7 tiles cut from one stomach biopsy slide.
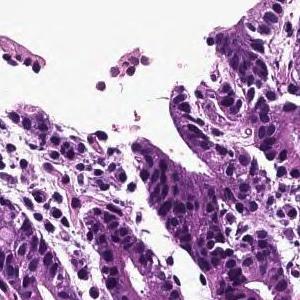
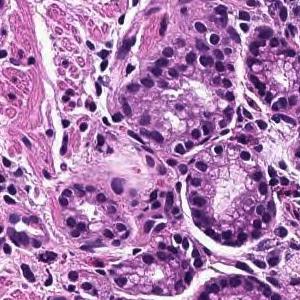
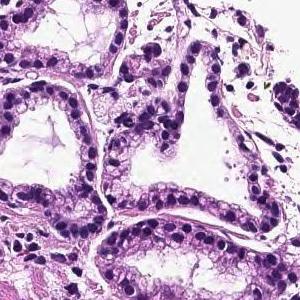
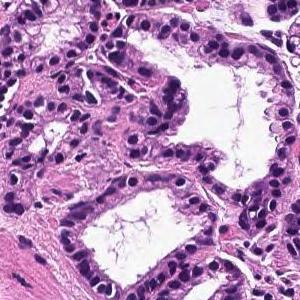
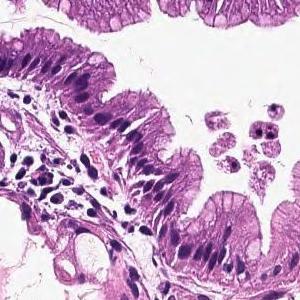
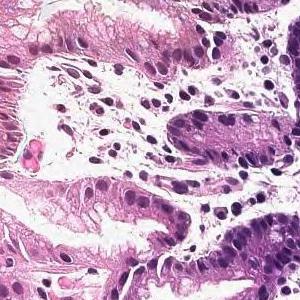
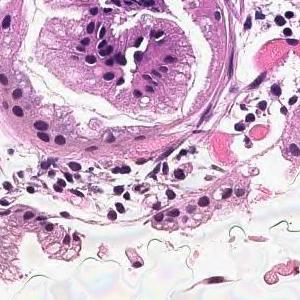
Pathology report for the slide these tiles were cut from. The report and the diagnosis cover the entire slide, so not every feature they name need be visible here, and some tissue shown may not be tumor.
In the superficial epithelium, tumor tissue that invades by forming medium-sized to small, irregular ducts is observed. moderately differentiated tubular adenocarcinoma.
